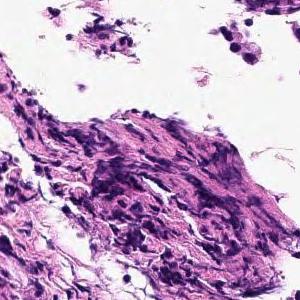
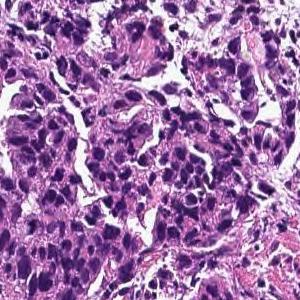
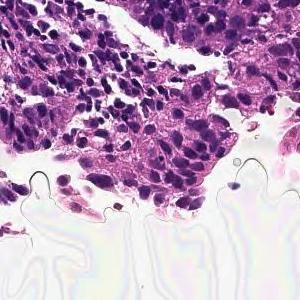
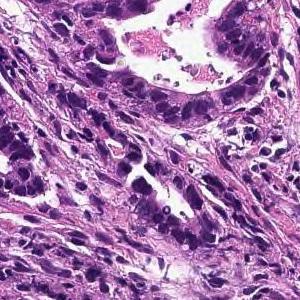
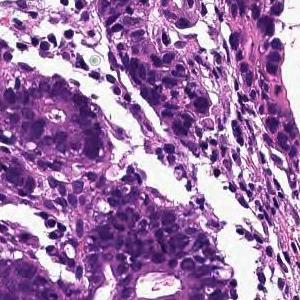
5 tiles from the same stomach biopsy slide; ×20.
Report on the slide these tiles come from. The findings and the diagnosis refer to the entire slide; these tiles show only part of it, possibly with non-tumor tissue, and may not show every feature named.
In the superficial epithelium, tumor tissue that invades by forming medium-sized to small, irregular ducts is observed. moderately differentiated tubular adenocarcinoma.
